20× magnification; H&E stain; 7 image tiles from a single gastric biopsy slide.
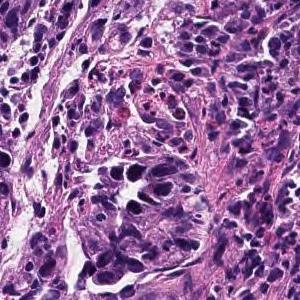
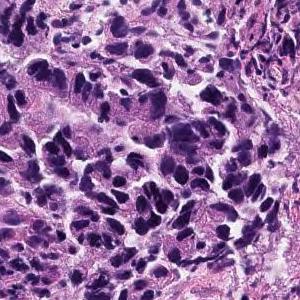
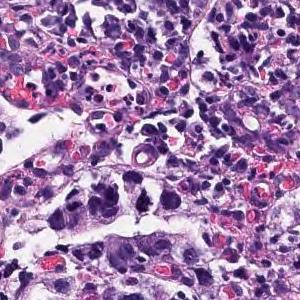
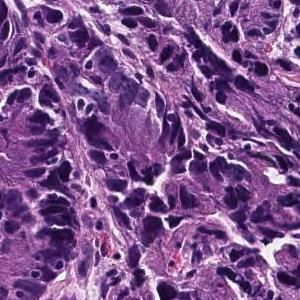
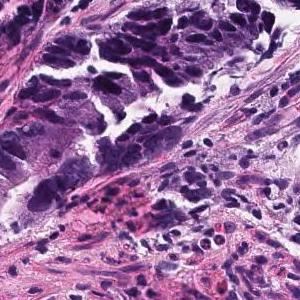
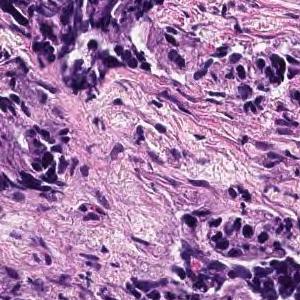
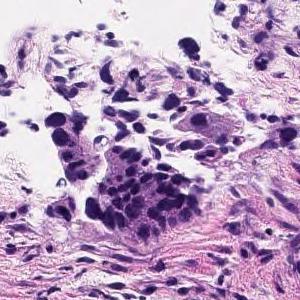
Diagnostic report for the slide these tiles come from. The report and the diagnosis cover the entire slide, so not every feature they name need be visible here, and some tissue shown may not be tumor.
In the superficial epithelium, tumor tissue that invades by forming medium-sized to small, irregular ducts is observed. Tumor cells are columnar or cuboidal in shape. Moderately differentiated adenocarcinoma.
Tumor subtype: moderately differentiated tubular adenocarcinoma.
